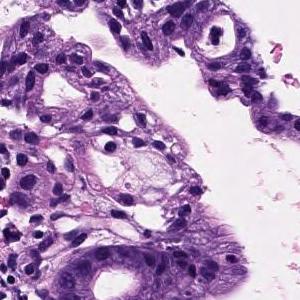
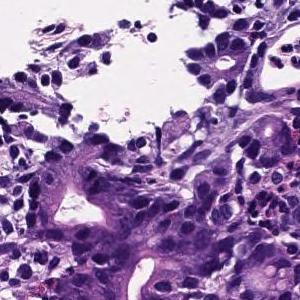
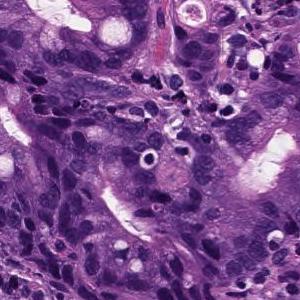
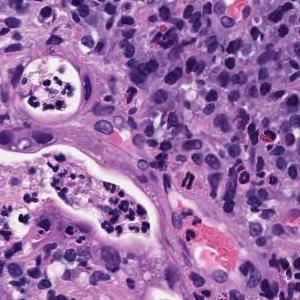
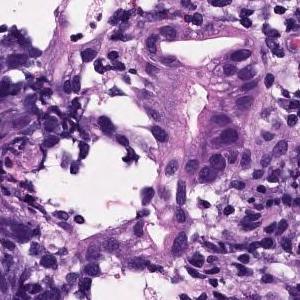
5 tiles cut from one stomach biopsy slide · H&E.
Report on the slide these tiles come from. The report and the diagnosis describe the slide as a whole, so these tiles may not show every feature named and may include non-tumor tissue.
Medium to small, irregular glandular ducts are formed in the superficial epithelium, and in some cases, the glandular ducts are fused to show solid alveolar lesions and infiltrating tumor tissue is observed. Moderately to poorly differentiated adenocarcinoma.
